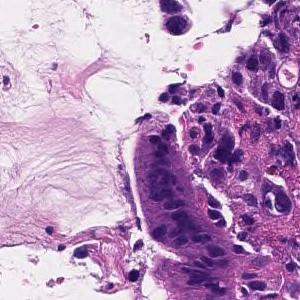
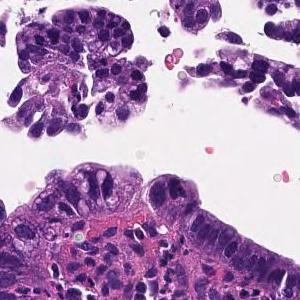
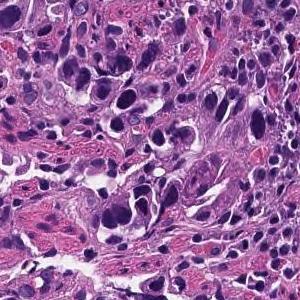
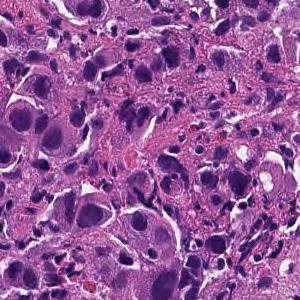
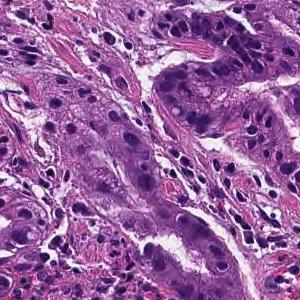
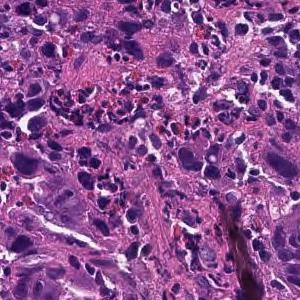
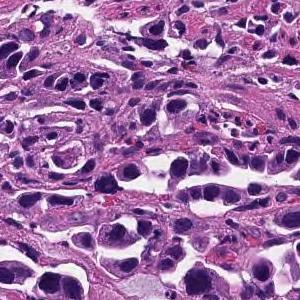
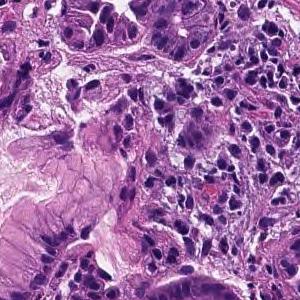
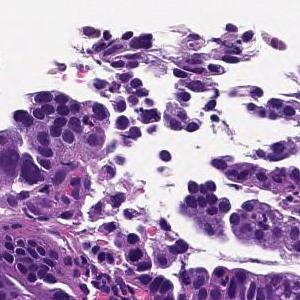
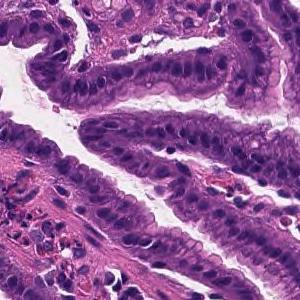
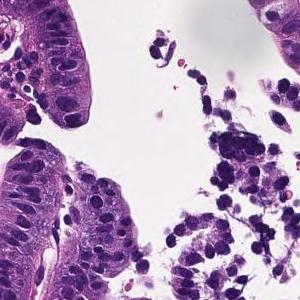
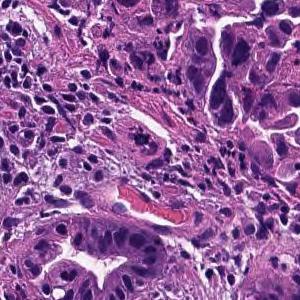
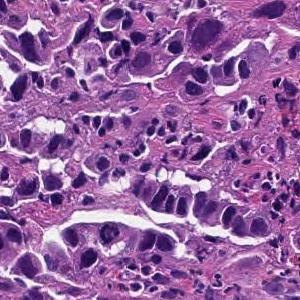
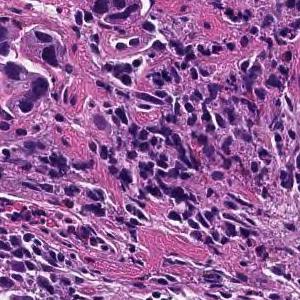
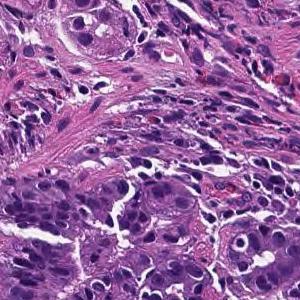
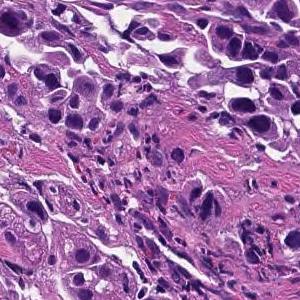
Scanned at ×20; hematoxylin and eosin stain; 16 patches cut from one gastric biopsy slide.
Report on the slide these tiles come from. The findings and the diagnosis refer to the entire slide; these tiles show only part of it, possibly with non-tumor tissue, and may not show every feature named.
Tumor tissue consisting of medium-sized, cord-like or irregular glandular infiltration is observed in the superficial epithelium. Poorly differentiated adenocarcinoma, non-solid type or moderately differentiated tubular adenocarcinoma
Subtype: Moderately to poorly differentiated adenocarcinoma.
The non-solid type named here is a Japanese Classification of Gastric Carcinoma category.
